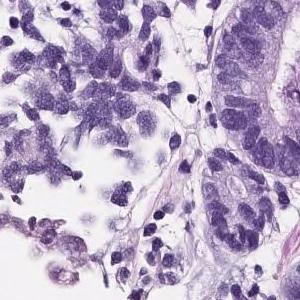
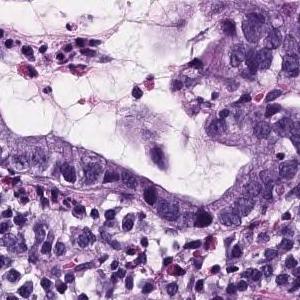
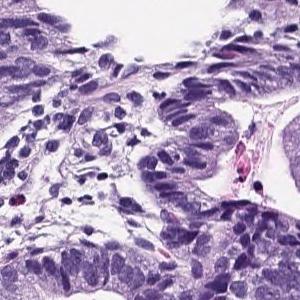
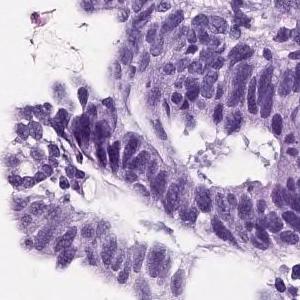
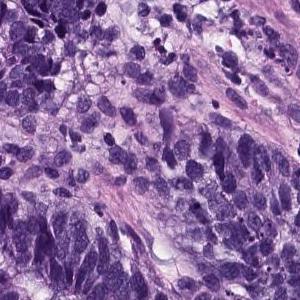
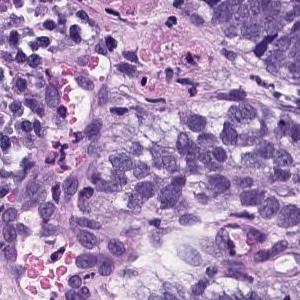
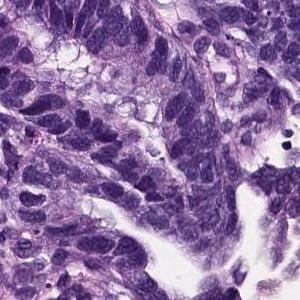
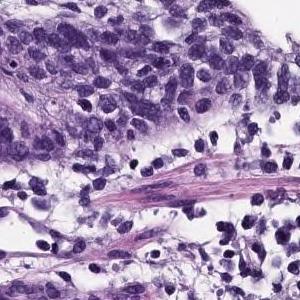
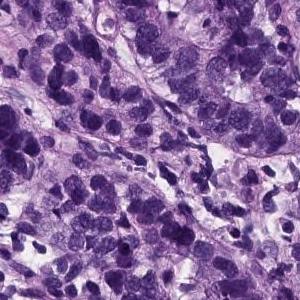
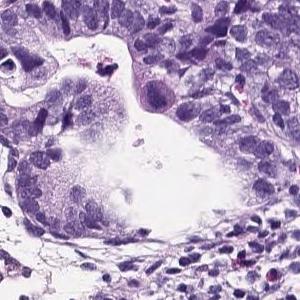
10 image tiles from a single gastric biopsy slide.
Pathology report for the slide these tiles were cut from. Both the report and the diagnosis are for the whole slide: these tiles need not show every feature named, and some of the tissue shown may not be tumor.
On the superficial epithelium, tumor tissue consisting of large, irregular glandular ducts partially fused and infiltrated is observed. Well to moderately differentiated tubular adenocarcinoma (well differentiated tubular adenocarcinoma, moderately differentiated tubular adenocarcinoma)
Dataset label: well differentiated tubular adenocarcinoma.
